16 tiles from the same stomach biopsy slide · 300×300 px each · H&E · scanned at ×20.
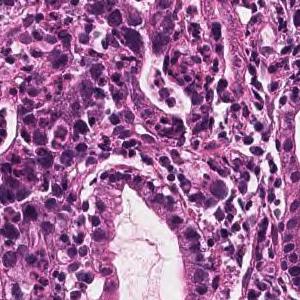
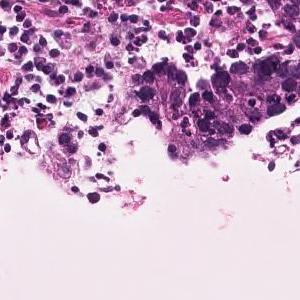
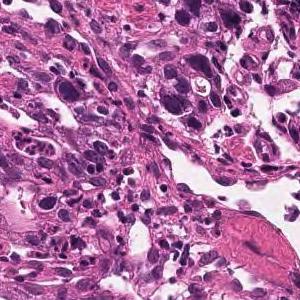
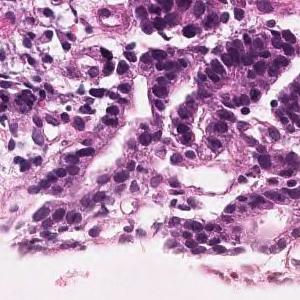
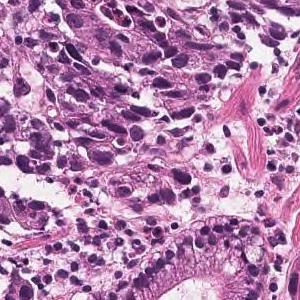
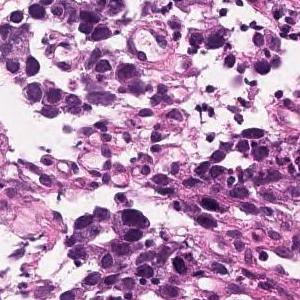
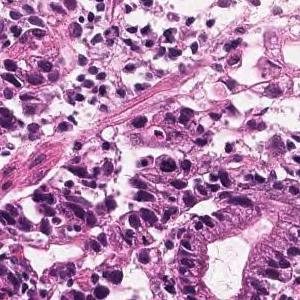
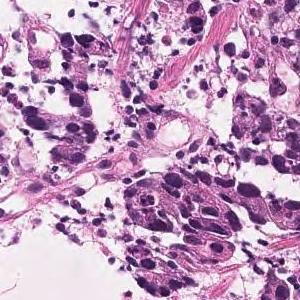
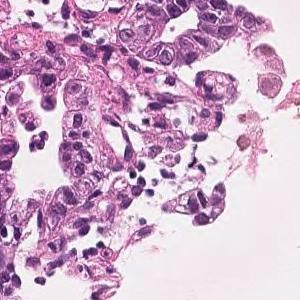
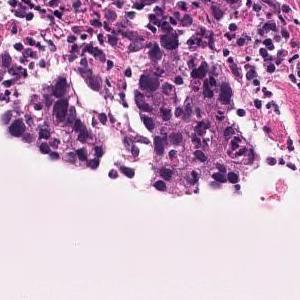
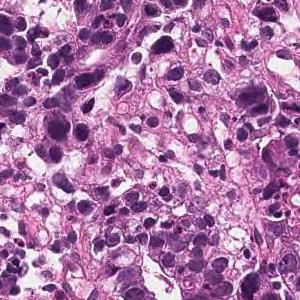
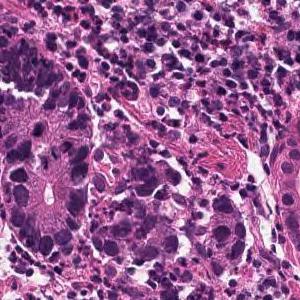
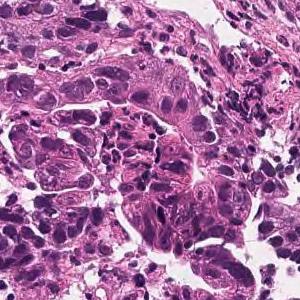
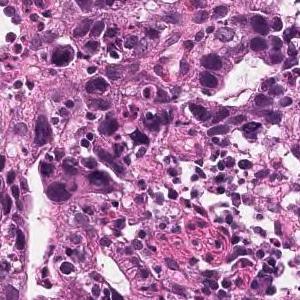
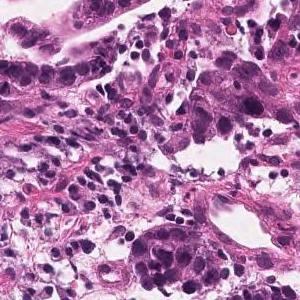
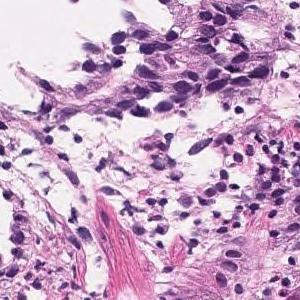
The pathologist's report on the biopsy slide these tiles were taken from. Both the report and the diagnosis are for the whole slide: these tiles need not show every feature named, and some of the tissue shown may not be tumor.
In the superficial epithelium, tumor tissue that invades by forming medium-sized to small, irregular ducts is observed. Moderately differentiated adenocarcinoma.
Histological subtype: Moderately differentiated tubular adenocarcinoma.
